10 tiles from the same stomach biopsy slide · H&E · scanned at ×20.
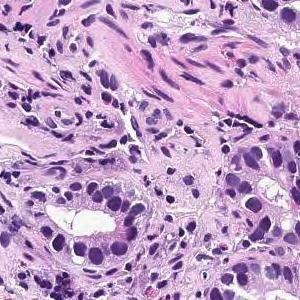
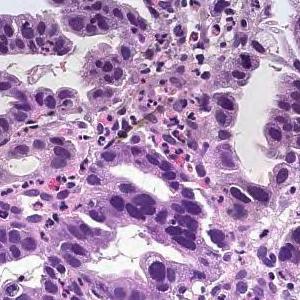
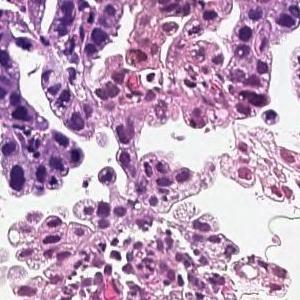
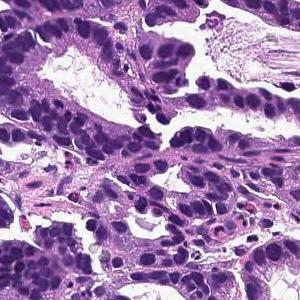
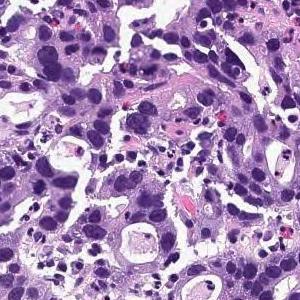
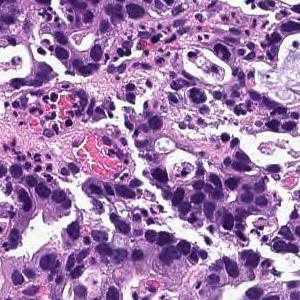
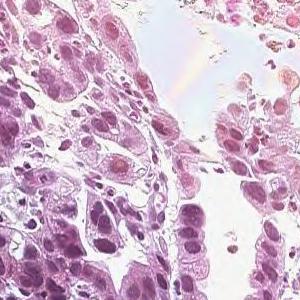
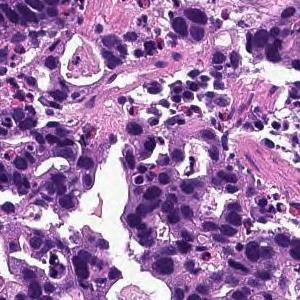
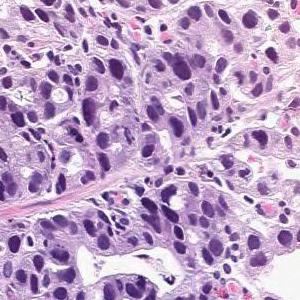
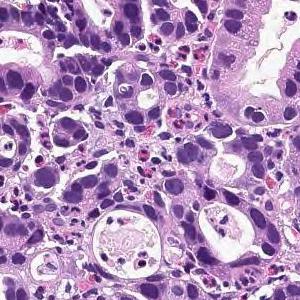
Diagnostic report for the slide these tiles come from. The report and the diagnosis cover the entire slide, so not every feature they name need be visible here, and some tissue shown may not be tumor.
On the superficial epithelium, tumor tissue consisting of large irregular glandular ducts partially fused and infiltrated is observed. Well to moderately differentiated tubular adenocarcinoma (well differentiated tubular adenocarcinoma, moderately differentiated tubular adenocarcinoma)
Classified as well to moderately differentiated tubular adenocarcinoma.
